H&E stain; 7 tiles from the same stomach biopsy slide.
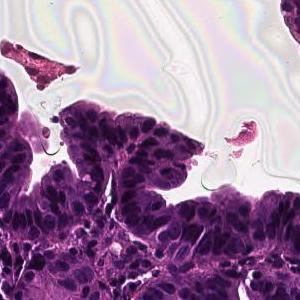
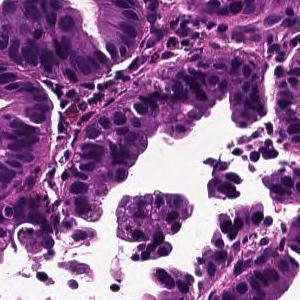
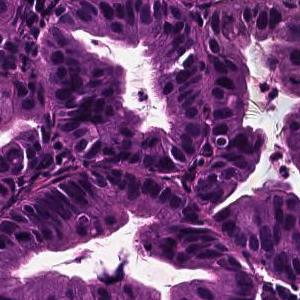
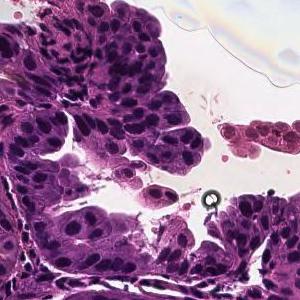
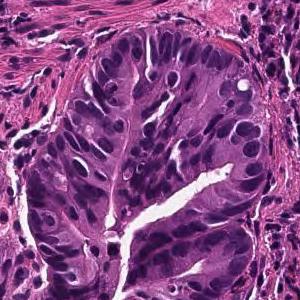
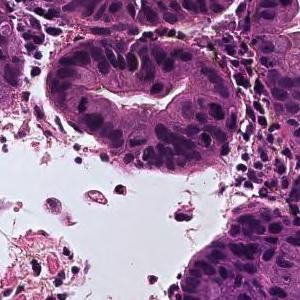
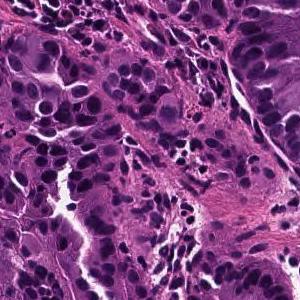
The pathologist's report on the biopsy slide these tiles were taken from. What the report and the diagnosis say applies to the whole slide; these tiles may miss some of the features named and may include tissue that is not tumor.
Tumor cells are large, highly columnar, large club-shaped nuclei, and are associated with chromatin aggregation. Papillary adenocarcinoma.
